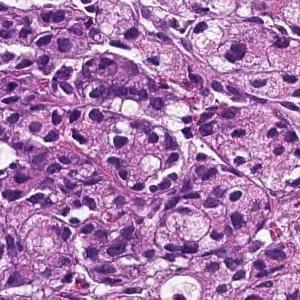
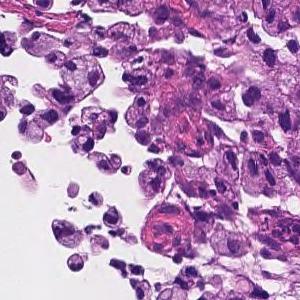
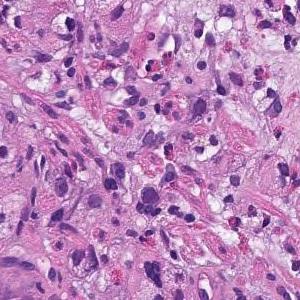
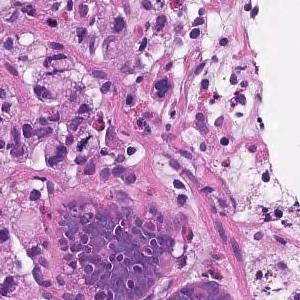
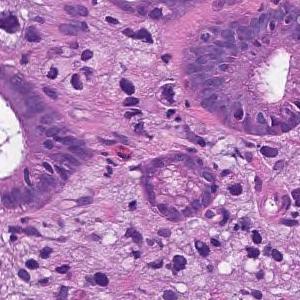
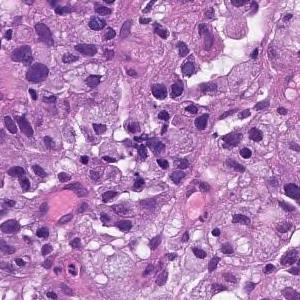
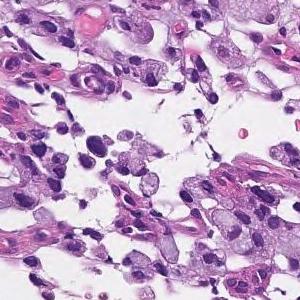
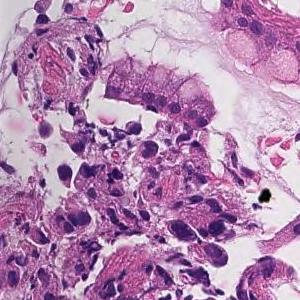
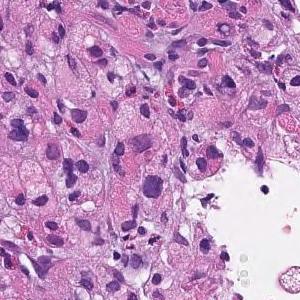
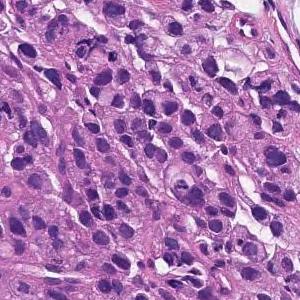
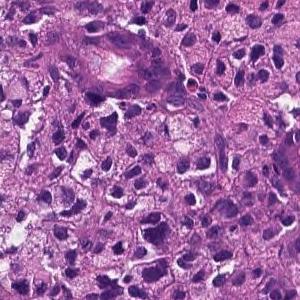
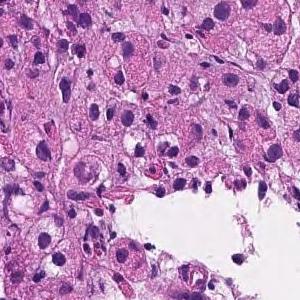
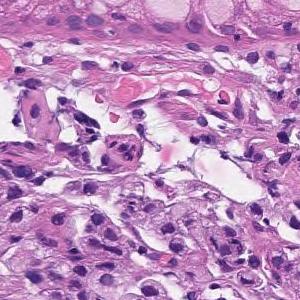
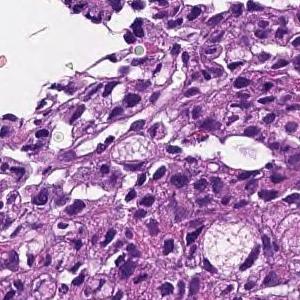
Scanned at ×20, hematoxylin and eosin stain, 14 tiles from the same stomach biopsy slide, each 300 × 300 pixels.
Report on the slide these tiles come from. The report and the diagnosis cover the entire slide, so not every feature they name need be visible here, and some tissue shown may not be tumor.
In the lamina propria, a tumor tissue consisting of signet ring cell type atypical epithelial cells infiltrating is observed. Signet ring cell carcinoma.
